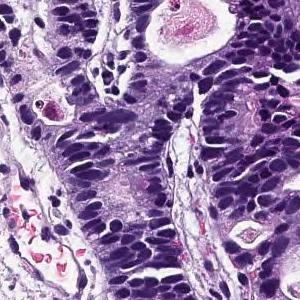
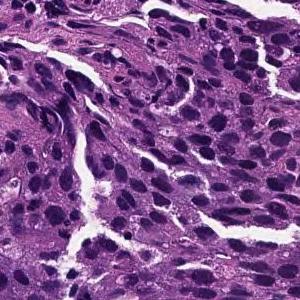
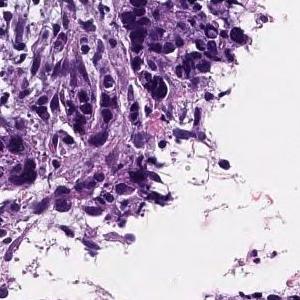
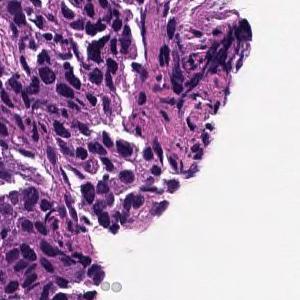
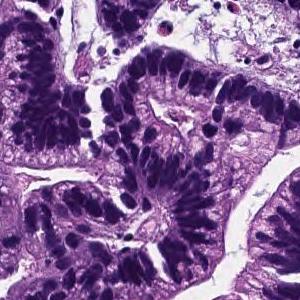
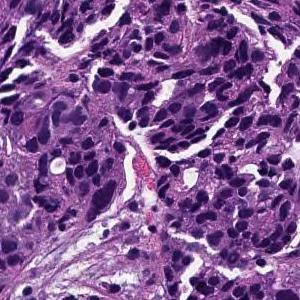
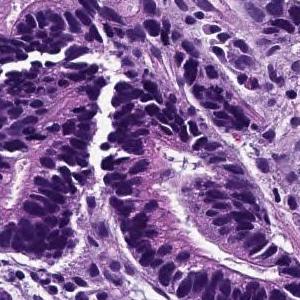
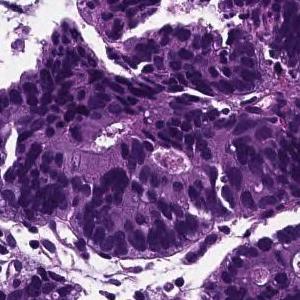
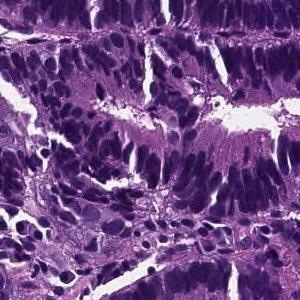
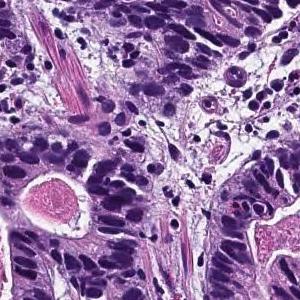
10 tiles cut from one stomach biopsy slide.
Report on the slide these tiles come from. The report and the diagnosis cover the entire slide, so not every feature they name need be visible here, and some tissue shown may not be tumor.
From the superficial epithelium to the muscularis mucosae, tumor tissue consisting of medium-sized and irregular glandular ducts infiltrating is observed. Well differentiated tubular adenocarcinoma
